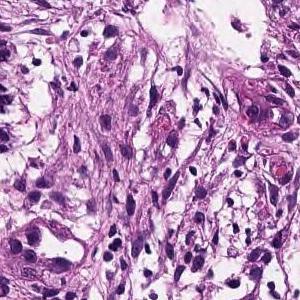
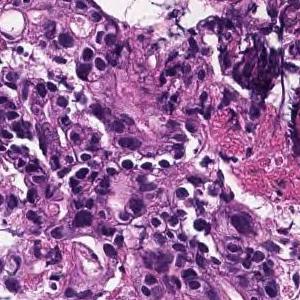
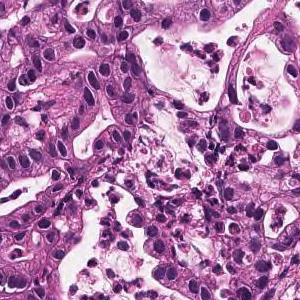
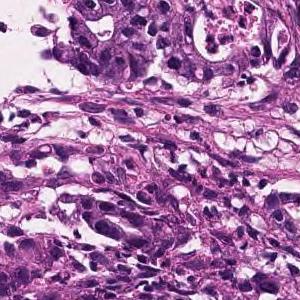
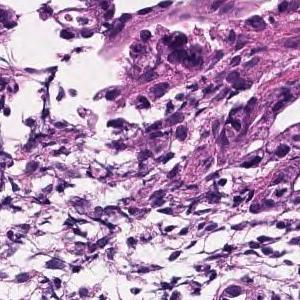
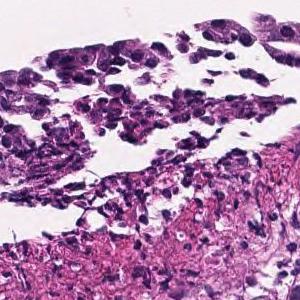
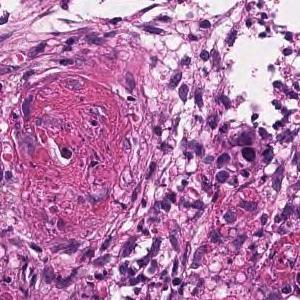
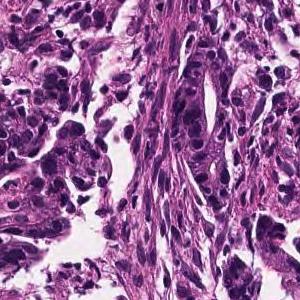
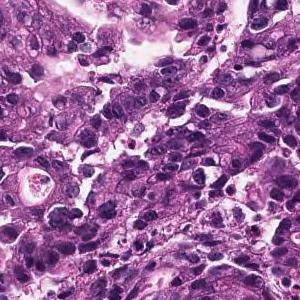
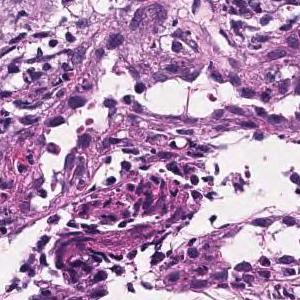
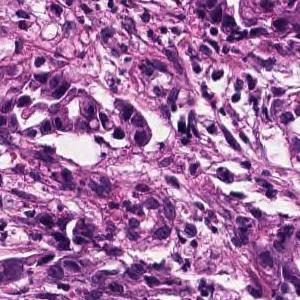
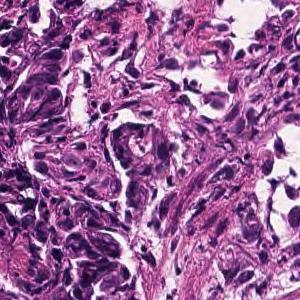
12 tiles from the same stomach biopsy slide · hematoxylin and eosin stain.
Report on the slide these tiles come from. The findings and the diagnosis refer to the entire slide; these tiles show only part of it, possibly with non-tumor tissue, and may not show every feature named.
In the superficial epithelium, medium to small, irregular gland ducts are formed, and in some cases, the gland ducts are fused to show solid alveolar lesions and infiltrating tumor tissue is observed. Moderately to poorly differentiated adenocarcinoma.
